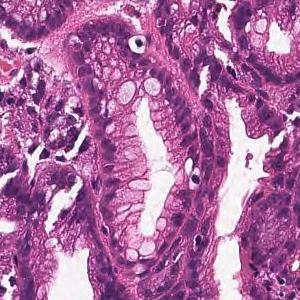
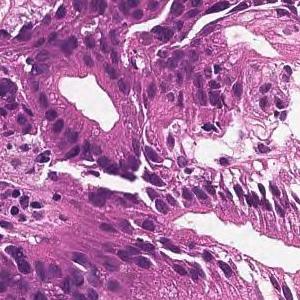
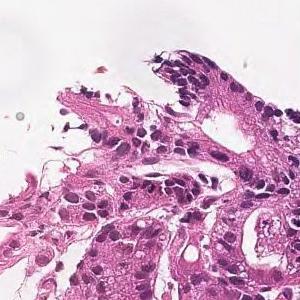
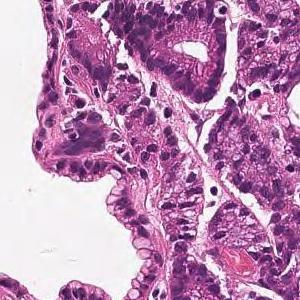
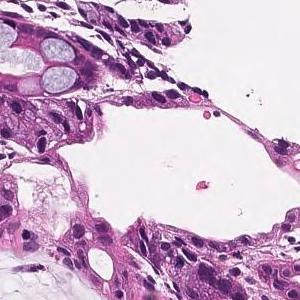
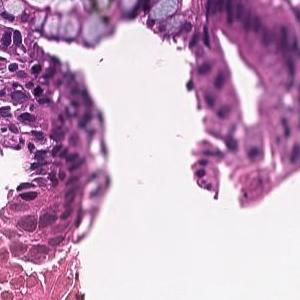
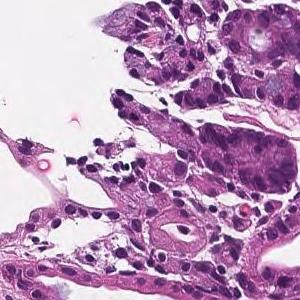
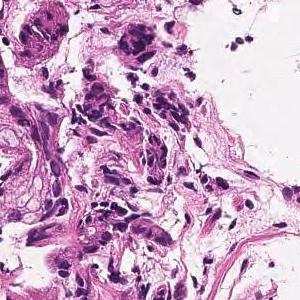
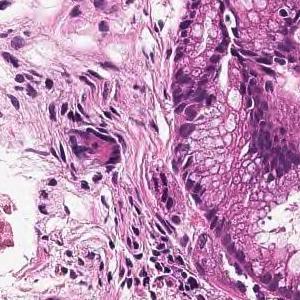
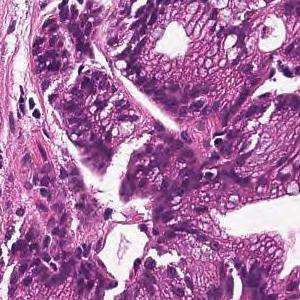
H&E stain, 20× magnification, 10 tiles from the same stomach biopsy slide, each 300 × 300 pixels.
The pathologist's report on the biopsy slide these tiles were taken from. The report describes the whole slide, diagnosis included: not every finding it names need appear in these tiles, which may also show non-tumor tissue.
In the superficial epithelium, tumor tissue that invades by forming medium-sized to small, irregular ducts is observed. moderately differentiated tubular adenocarcinoma.
